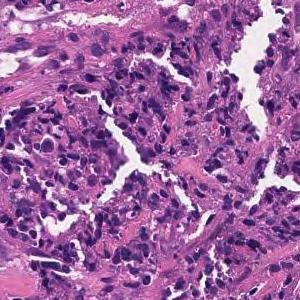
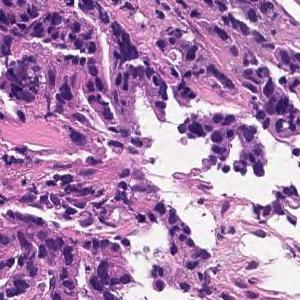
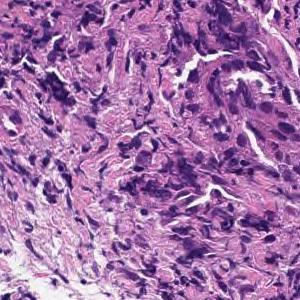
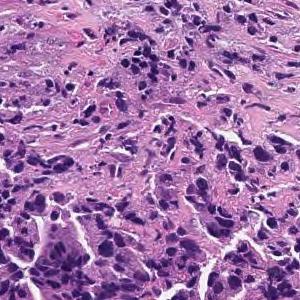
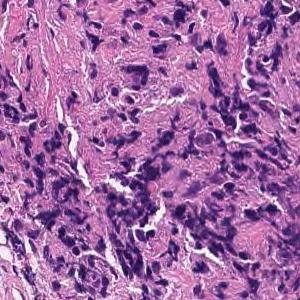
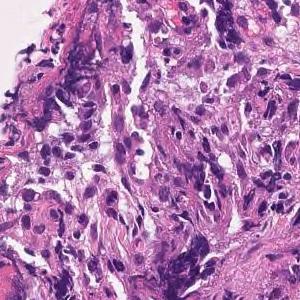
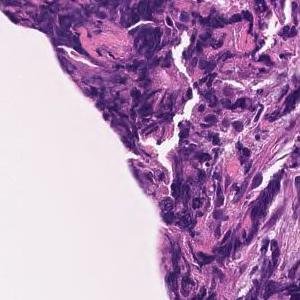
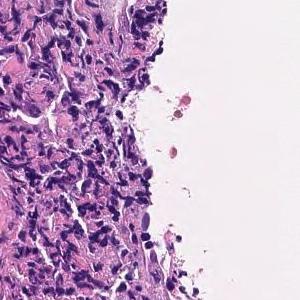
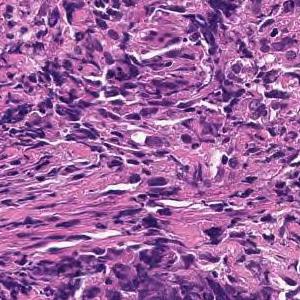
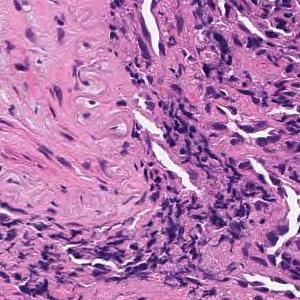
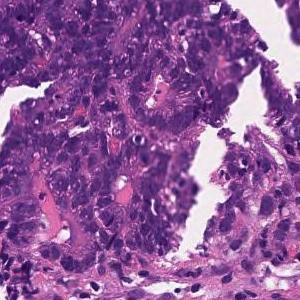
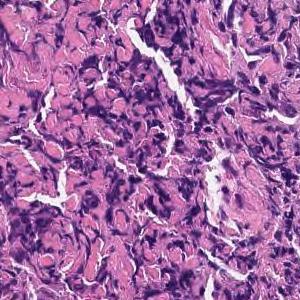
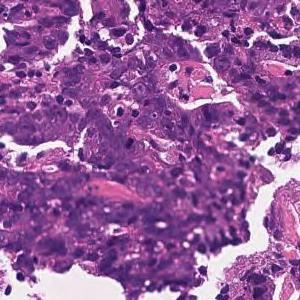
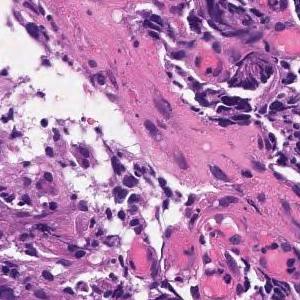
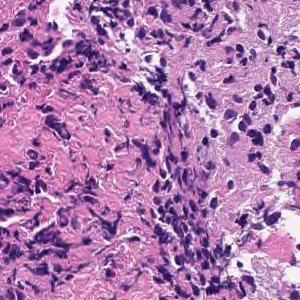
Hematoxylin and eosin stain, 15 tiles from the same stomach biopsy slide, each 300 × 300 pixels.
Pathology report for the biopsy slide these tiles were cut from. Both the report and the diagnosis are for the whole slide: these tiles need not show every feature named, and some of the tissue shown may not be tumor.
Tumor tissue consisting of medium-sized, cord-like or irregular glandular infiltration is observed in the superficial epithelium. Poorly differentiated adenocarcinoma, non-solid type or moderately differentiated tubular adenocarcinoma
Classified as moderately to poorly differentiated adenocarcinoma.
The term "non-solid type" comes from the Japanese Classification of Gastric Carcinoma.
